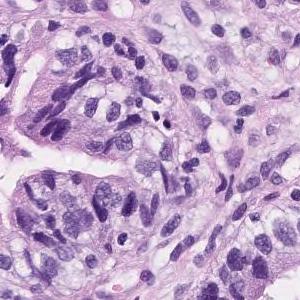
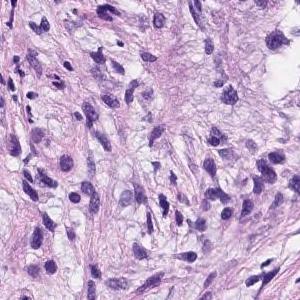
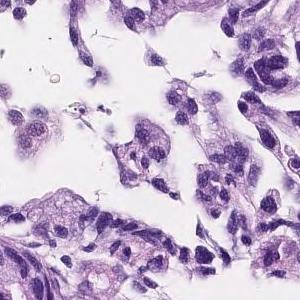
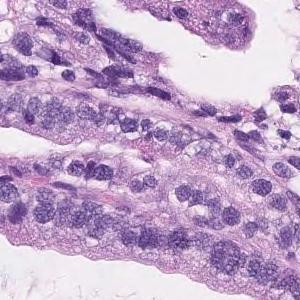
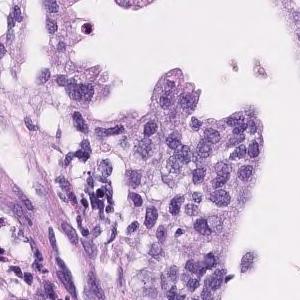
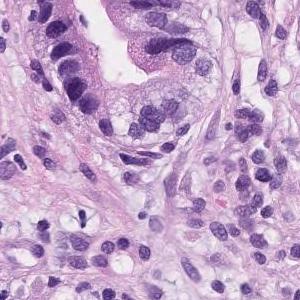
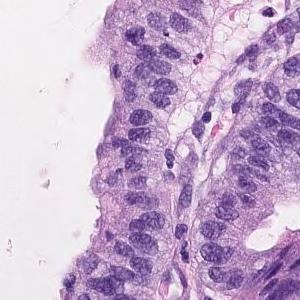
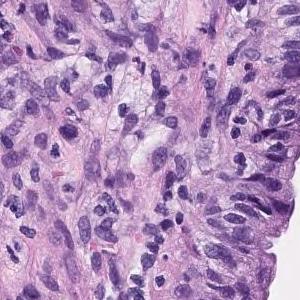
Hematoxylin and eosin stain · ×20 · 8 tiles cut from one stomach biopsy slide.
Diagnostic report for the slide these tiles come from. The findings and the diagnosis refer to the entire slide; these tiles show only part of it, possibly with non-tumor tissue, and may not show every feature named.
Tumor cells are large, highly columnar, large club-shaped nuclei, and are associated with chromatin aggregation. Papillary adenocarcinoma.
